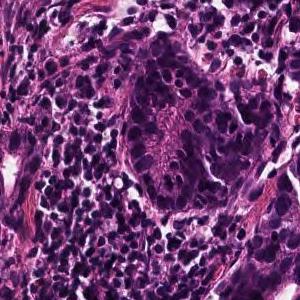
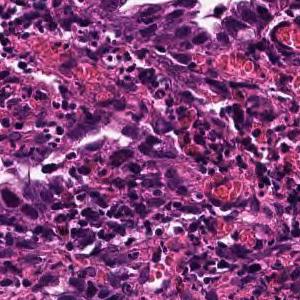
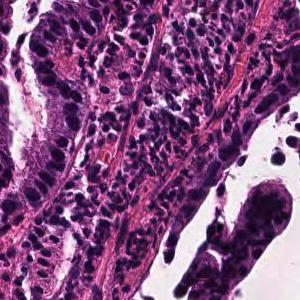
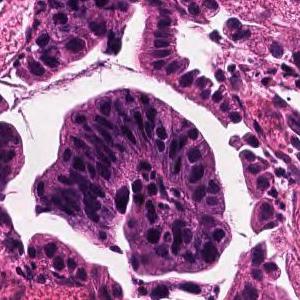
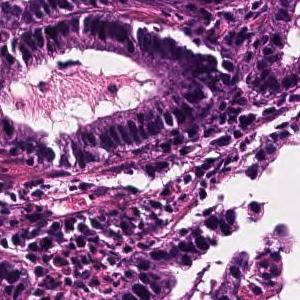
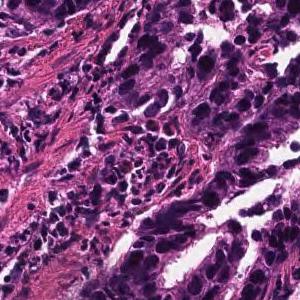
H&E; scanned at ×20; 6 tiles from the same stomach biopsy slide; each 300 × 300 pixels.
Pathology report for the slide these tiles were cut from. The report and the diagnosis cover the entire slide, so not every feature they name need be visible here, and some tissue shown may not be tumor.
Tumor tissue consisting of large papillary structures is found in the superficial epithelium. Papillary adenocarcinoma.
